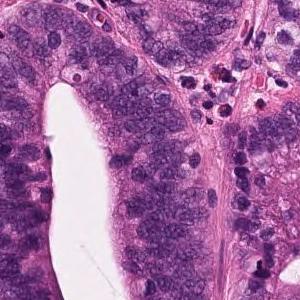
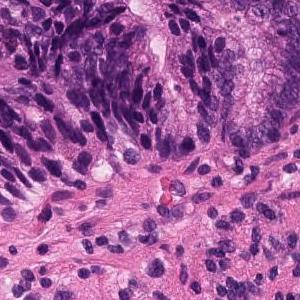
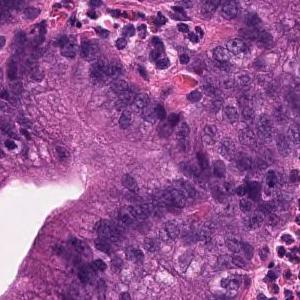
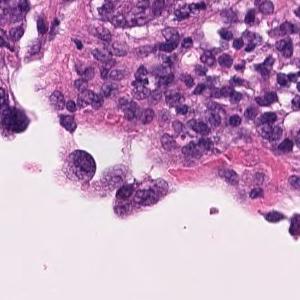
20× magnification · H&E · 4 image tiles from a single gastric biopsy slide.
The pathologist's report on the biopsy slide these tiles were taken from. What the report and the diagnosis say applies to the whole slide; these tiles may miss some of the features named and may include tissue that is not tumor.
In the superficial epithelium, tumor tissue that invades by forming medium-sized to small, irregular ducts is observed. Moderately differentiated adenocarcinoma.
Subtype: Moderately differentiated tubular adenocarcinoma.
